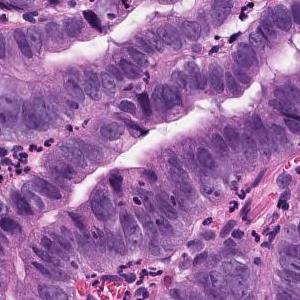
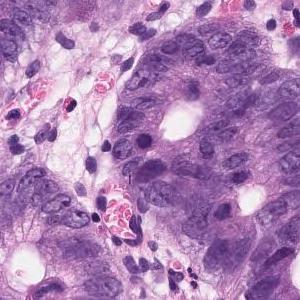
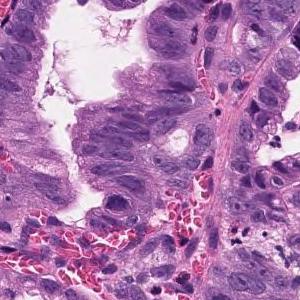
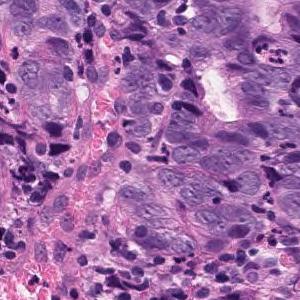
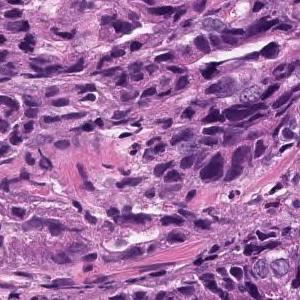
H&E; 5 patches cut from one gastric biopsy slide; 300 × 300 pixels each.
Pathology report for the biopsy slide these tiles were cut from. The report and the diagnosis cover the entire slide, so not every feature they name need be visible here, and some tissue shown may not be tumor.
The swollen atypical epithelium of the nucleus forms an irregular ductal structure and proliferates. moderately differentiated tubular adenocarcinoma
